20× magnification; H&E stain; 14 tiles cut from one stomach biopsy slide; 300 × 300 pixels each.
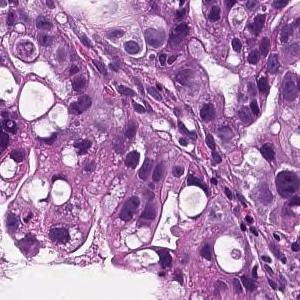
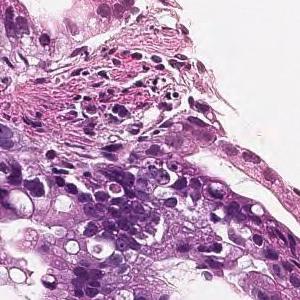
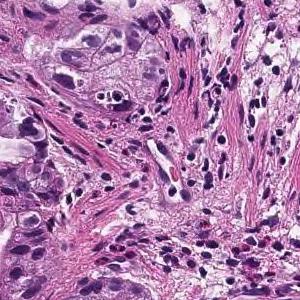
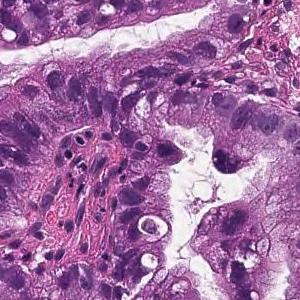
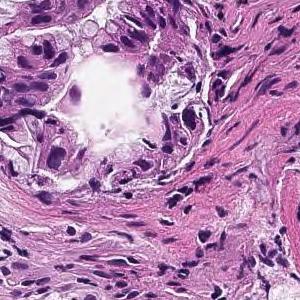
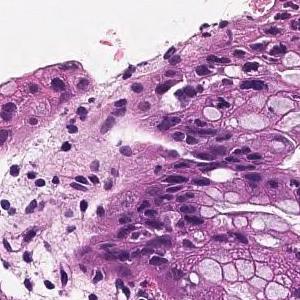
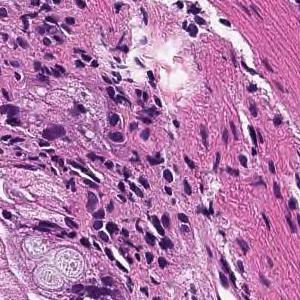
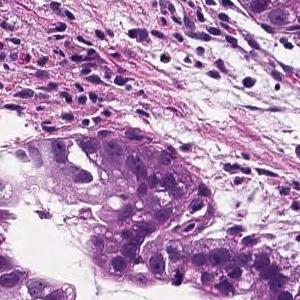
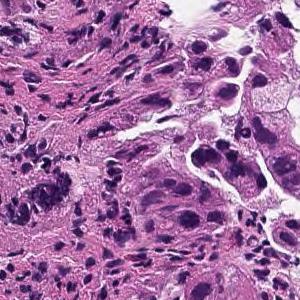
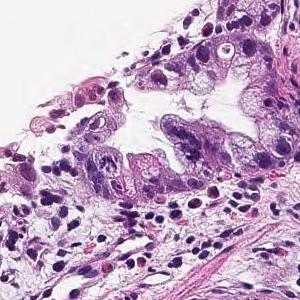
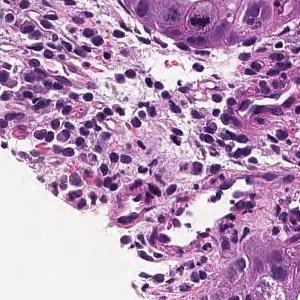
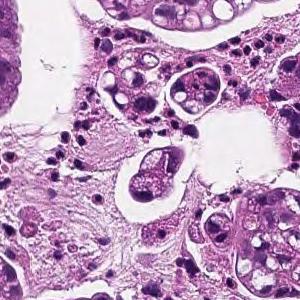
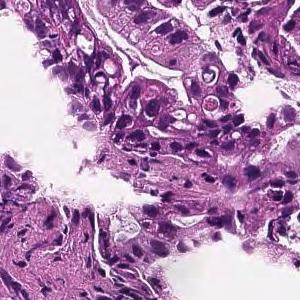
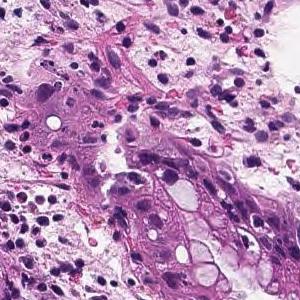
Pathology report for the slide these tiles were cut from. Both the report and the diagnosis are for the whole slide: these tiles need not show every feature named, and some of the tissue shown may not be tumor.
From the superficial epithelium to the muscularis mucosae, tumor tissue consisting of medium-sized and irregular glandular ducts infiltrating is observed. Well differentiated tubular adenocarcinoma
